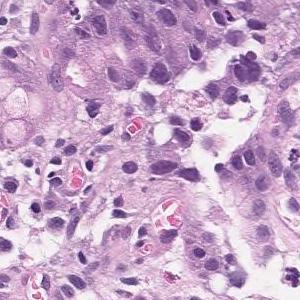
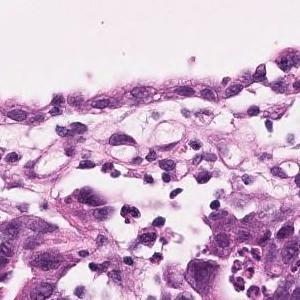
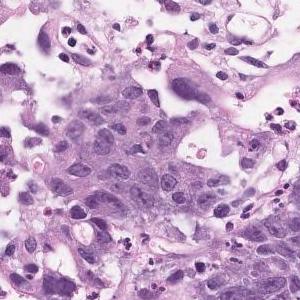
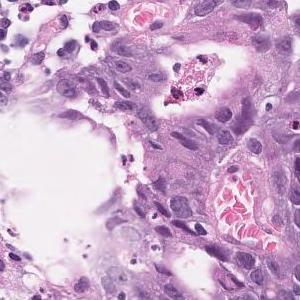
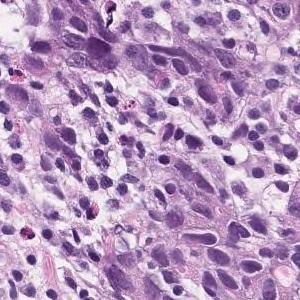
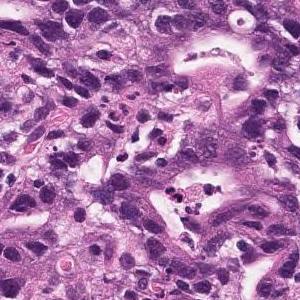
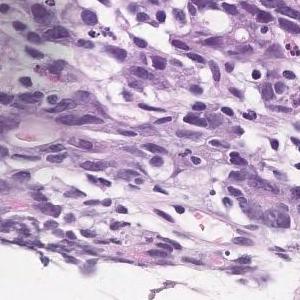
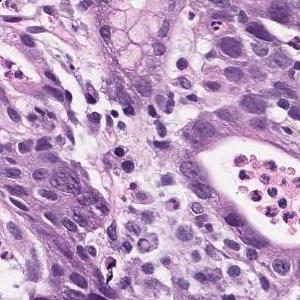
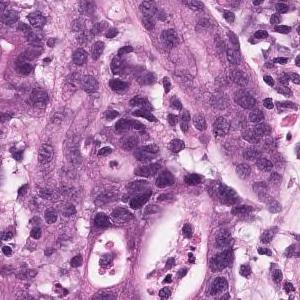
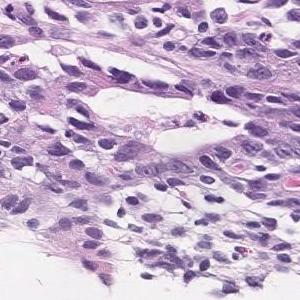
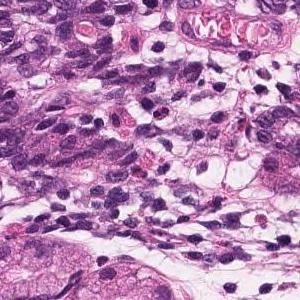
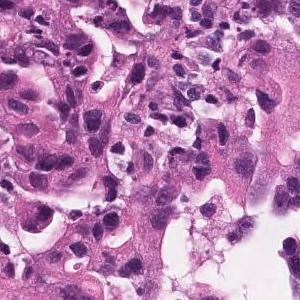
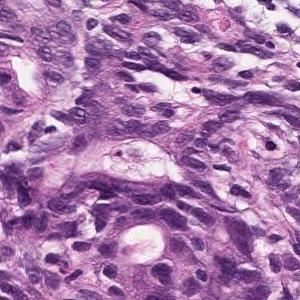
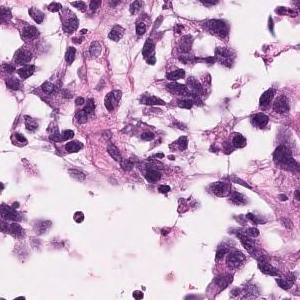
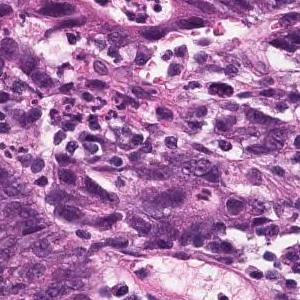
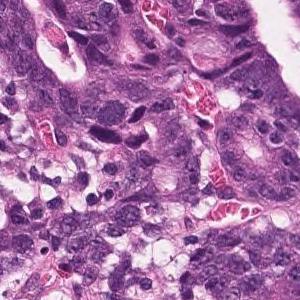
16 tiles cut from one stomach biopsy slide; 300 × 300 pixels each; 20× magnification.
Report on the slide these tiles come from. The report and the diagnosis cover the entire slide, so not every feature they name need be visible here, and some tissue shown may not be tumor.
It is mixed with the existing pit epithelium and pyloric gland epithelium, and irregularly fused and branched atypical ducts are observed. Moderately differentiated tubular adenocarcinoma (well differentiated tubular adenocarcinoma)
The dataset labels this slide moderately differentiated tubular adenocarcinoma.
